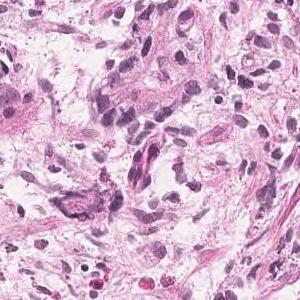
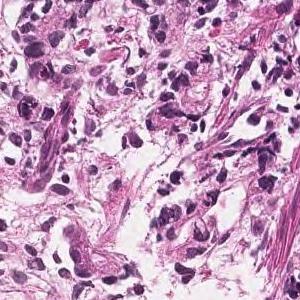
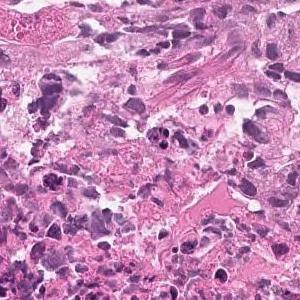
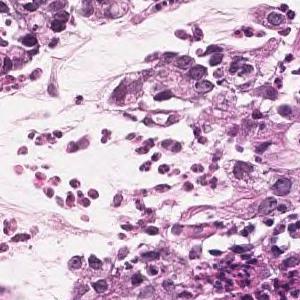
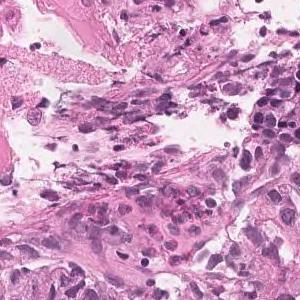
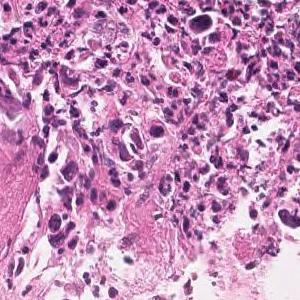
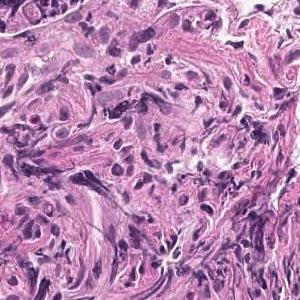
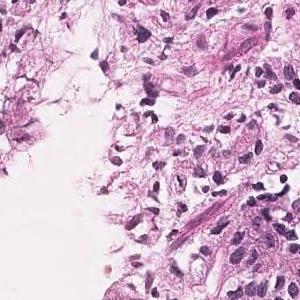
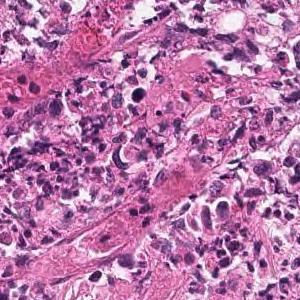
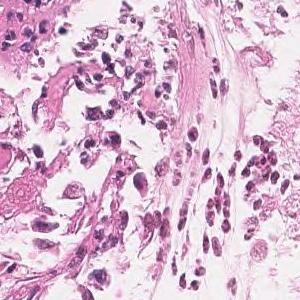
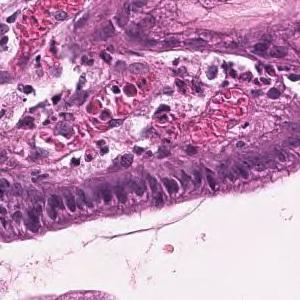
H&E · scanned at ×20 · 11 image tiles from a single gastric biopsy slide.
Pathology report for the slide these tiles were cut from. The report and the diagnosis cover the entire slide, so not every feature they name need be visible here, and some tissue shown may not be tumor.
In the superficial epithelium, medium to small irregular gland ducts are formed, and in some cases, the ducts are fused to show solid alveolar lesions and infiltrating tumor tissue is observed. Moderately to poorly differentiated adenocarcinoma
